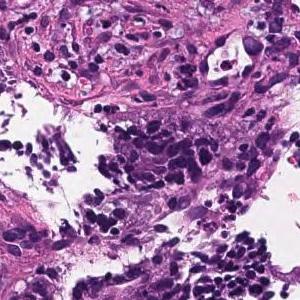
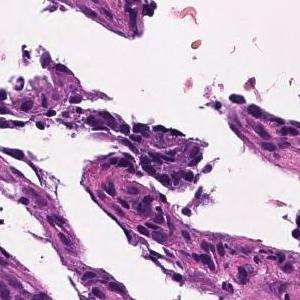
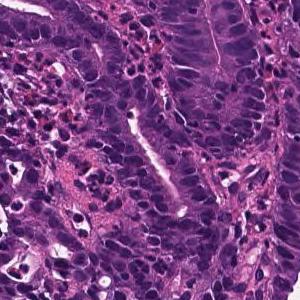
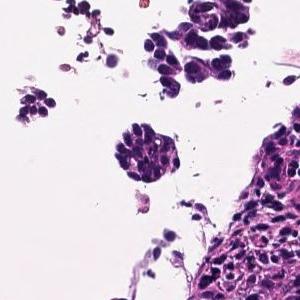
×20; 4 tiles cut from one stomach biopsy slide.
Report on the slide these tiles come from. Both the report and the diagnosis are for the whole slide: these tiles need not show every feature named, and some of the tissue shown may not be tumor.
Well differentiated tubular adenocarcinoma in which small atypical ducts show invasive growth in the stroma
Histological subtype: Well differentiated tubular adenocarcinoma.
